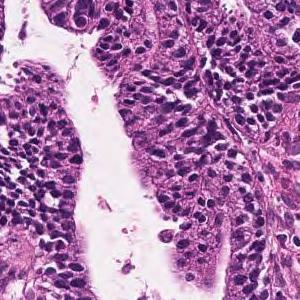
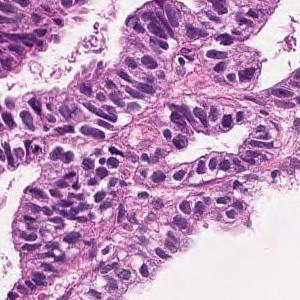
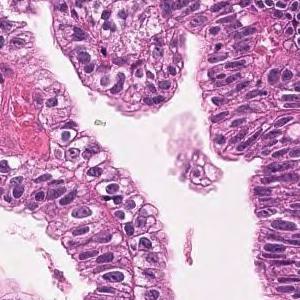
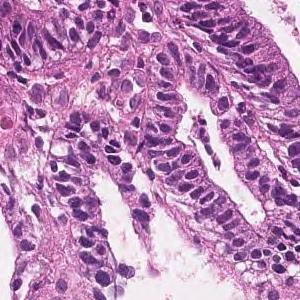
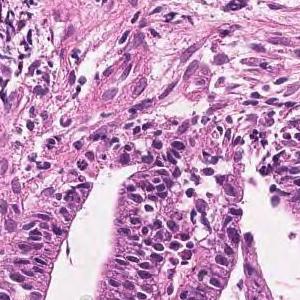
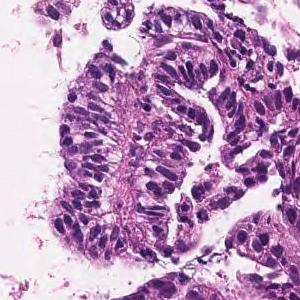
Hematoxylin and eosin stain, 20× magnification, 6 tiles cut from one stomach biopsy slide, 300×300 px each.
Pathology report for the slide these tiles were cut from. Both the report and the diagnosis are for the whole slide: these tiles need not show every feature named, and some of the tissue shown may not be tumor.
Tumor cells are large, highly columnar, large club-shaped nuclei, and are associated with chromatin aggregation. Papillary adenocarcinoma.
